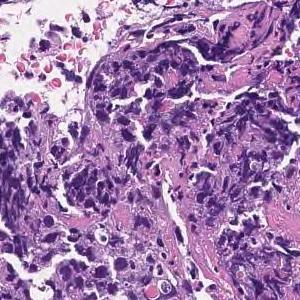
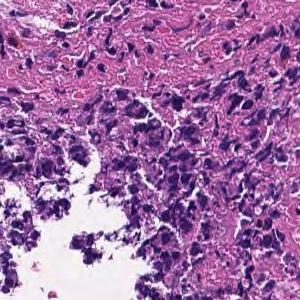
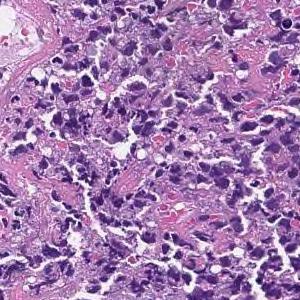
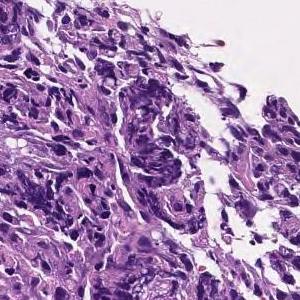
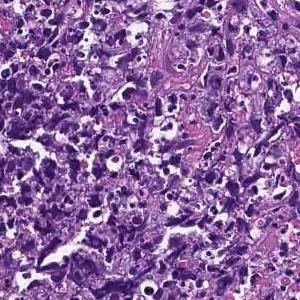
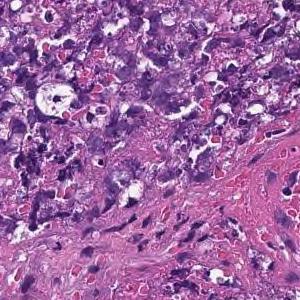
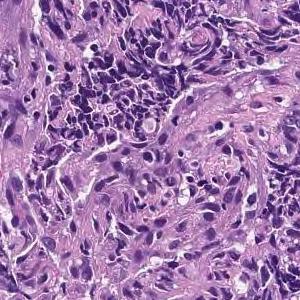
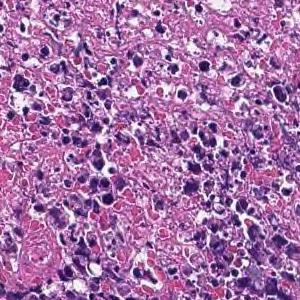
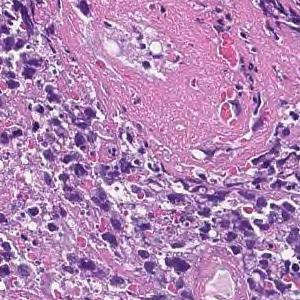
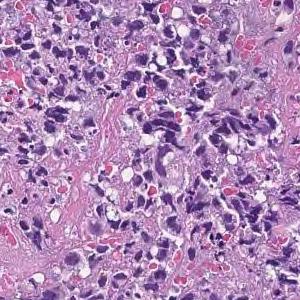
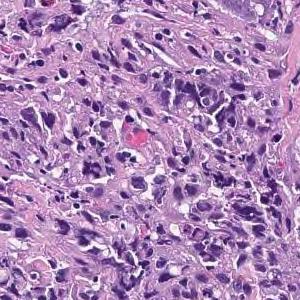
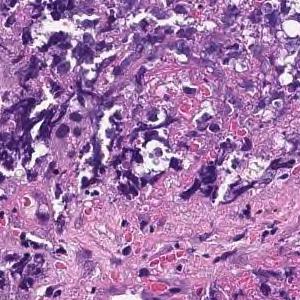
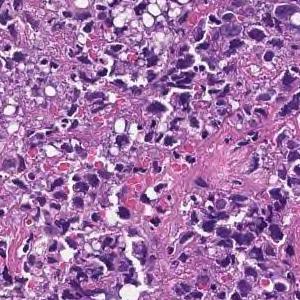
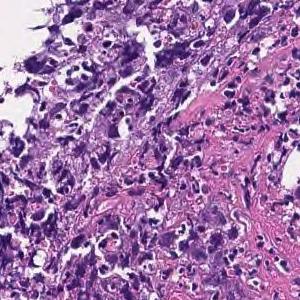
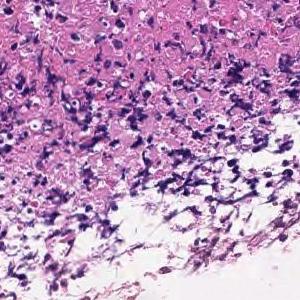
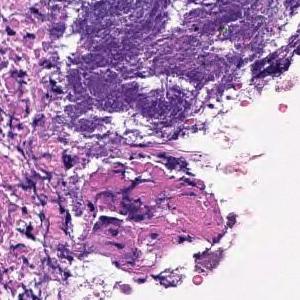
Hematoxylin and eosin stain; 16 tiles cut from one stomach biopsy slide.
Pathology report for the slide these tiles were cut from. The report describes the whole slide, diagnosis included: not every finding it names need appear in these tiles, which may also show non-tumor tissue.
Most are composed of coagulative necrotic tissue, but some show a large sheet-like shape, and some show tumor tissue infiltrating with a small cord-like structure. Poorly differentiated adenocarcinoma, solid-type
Classified as poorly differentiated adenocarcinoma, solid type. This name comes from the Japanese Classification of Gastric Carcinoma; the WHO 2019 classification calls it tubular adenocarcinoma, poorly differentiated.
